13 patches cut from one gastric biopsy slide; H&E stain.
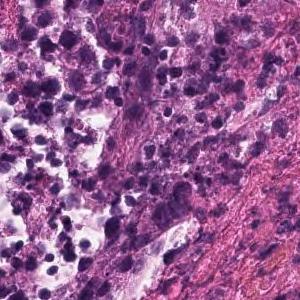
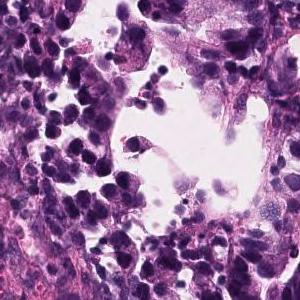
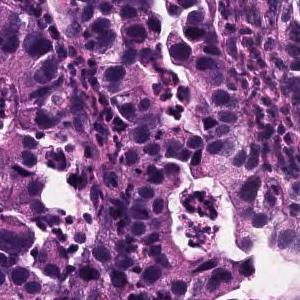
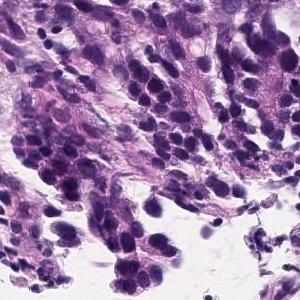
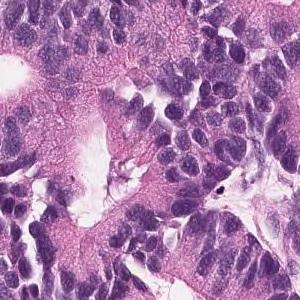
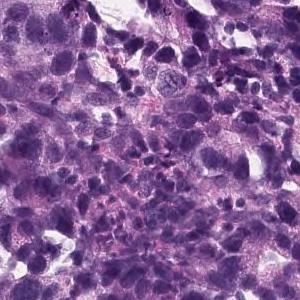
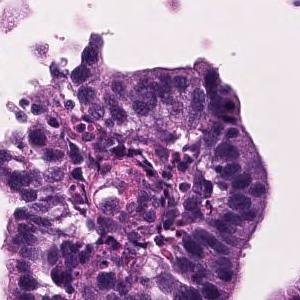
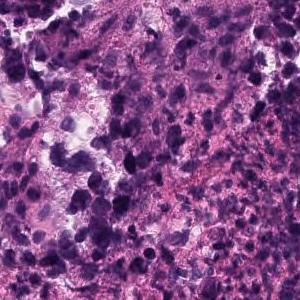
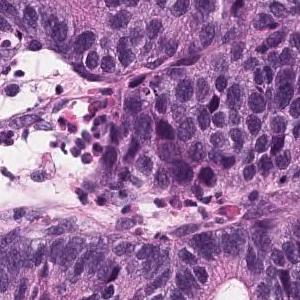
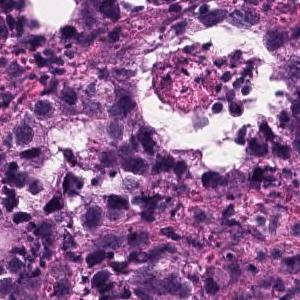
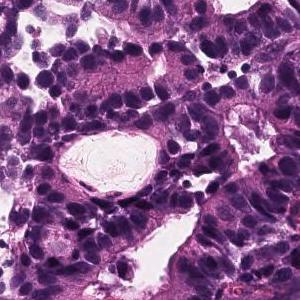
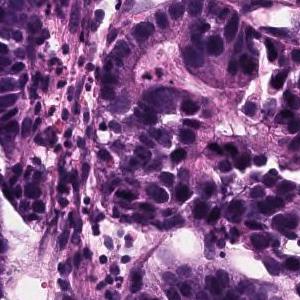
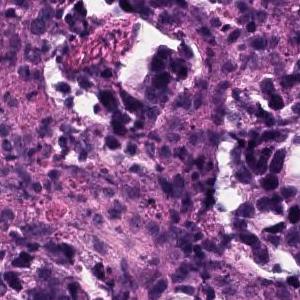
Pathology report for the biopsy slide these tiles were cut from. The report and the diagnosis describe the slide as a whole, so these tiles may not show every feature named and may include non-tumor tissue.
In the superficial epithelium, tumor tissue that invades by forming medium-sized to small, irregular ducts is observed. moderately differentiated tubular adenocarcinoma.
